Scanned at ×20; H&E; 6 tiles from the same stomach biopsy slide; each 300 × 300 pixels.
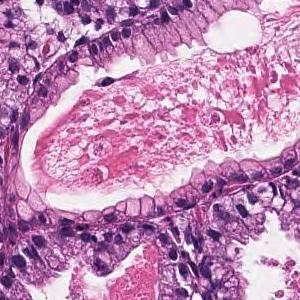
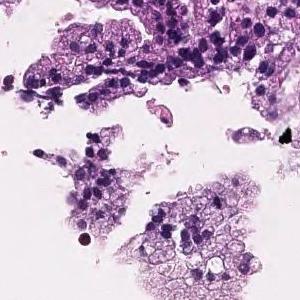
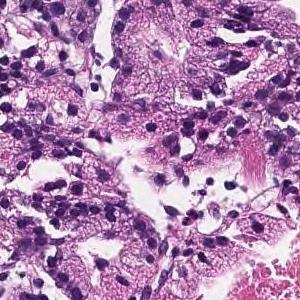
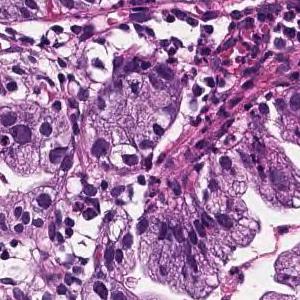
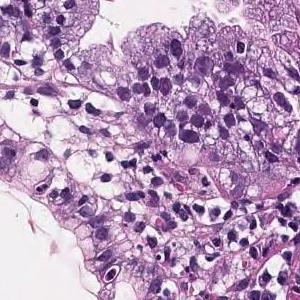
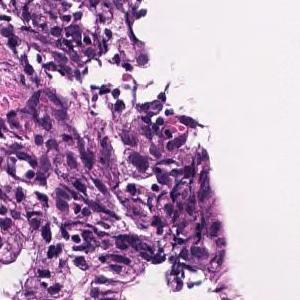
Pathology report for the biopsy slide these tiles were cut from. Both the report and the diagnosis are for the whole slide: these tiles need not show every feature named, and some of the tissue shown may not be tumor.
In the superficial epithelium, tumor tissue that infiltrates by forming medium-sized papillary or small irregular ducts is observed. Papillary adenocarcinoma
